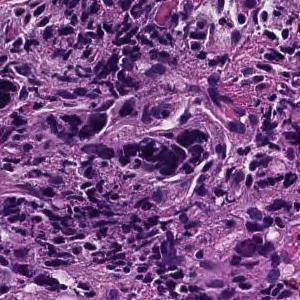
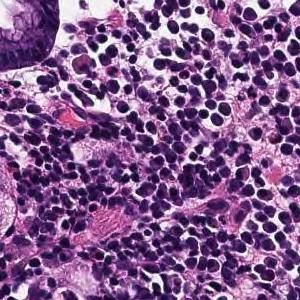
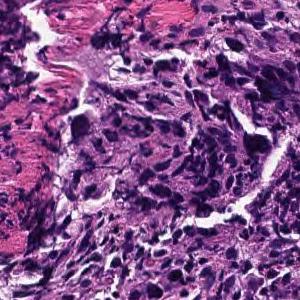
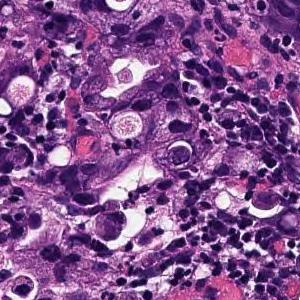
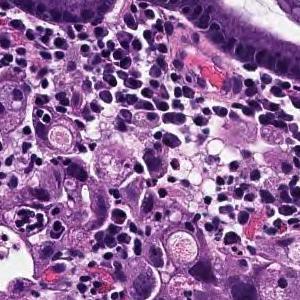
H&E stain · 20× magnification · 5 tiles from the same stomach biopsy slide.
The pathologist's report on the biopsy slide these tiles were taken from. The findings and the diagnosis refer to the entire slide; these tiles show only part of it, possibly with non-tumor tissue, and may not show every feature named.
Tumor tissue consisting of medium-sized, cord-like or irregular glandular infiltration is observed in the superficial epithelium. Poorly differentiated adenocarcinoma, non-solid type or moderately differentiated tubular adenocarcinoma
Subtype: Moderately to poorly differentiated adenocarcinoma.
The non-solid type named here is a Japanese Classification of Gastric Carcinoma category.
